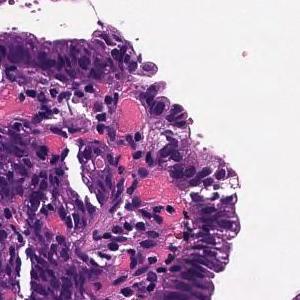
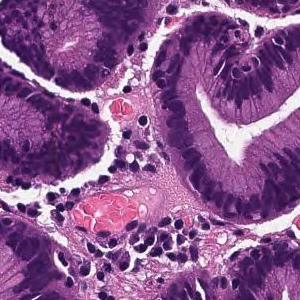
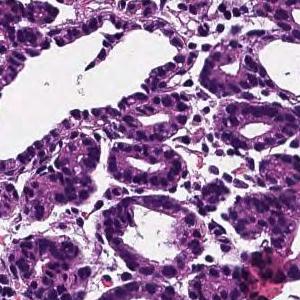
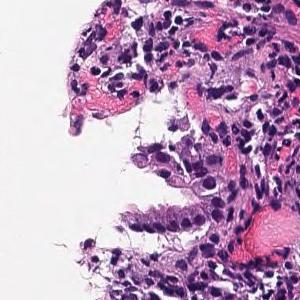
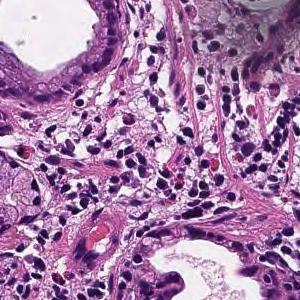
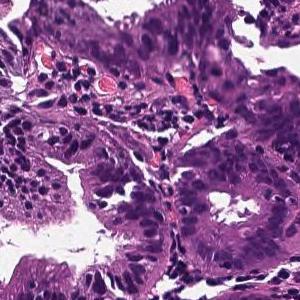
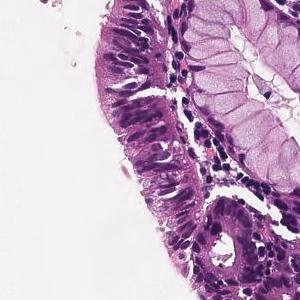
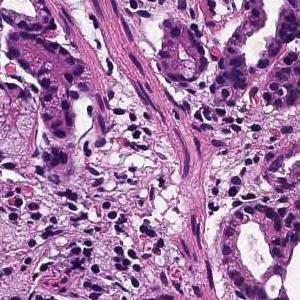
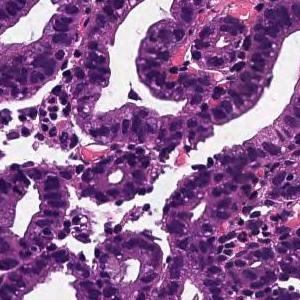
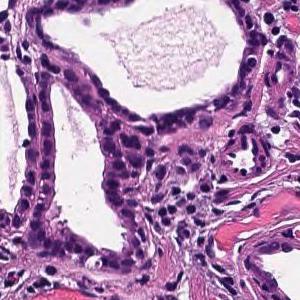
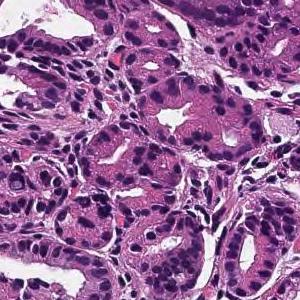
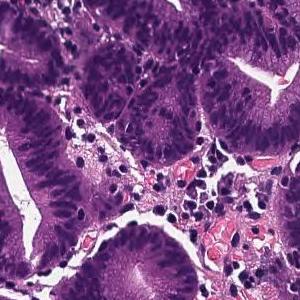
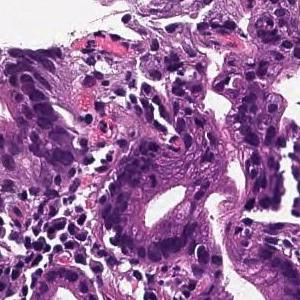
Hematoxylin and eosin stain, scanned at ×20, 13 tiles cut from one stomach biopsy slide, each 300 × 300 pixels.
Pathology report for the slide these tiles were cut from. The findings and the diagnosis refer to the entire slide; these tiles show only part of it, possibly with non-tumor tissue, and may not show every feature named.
Cells with elliptical or atypical nuclei form dense ducts with relatively clear growth. Well differentiated tubular adenocarcinoma
